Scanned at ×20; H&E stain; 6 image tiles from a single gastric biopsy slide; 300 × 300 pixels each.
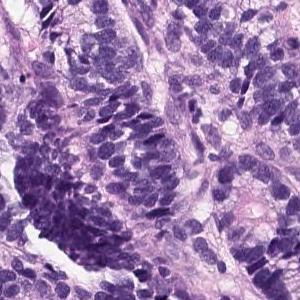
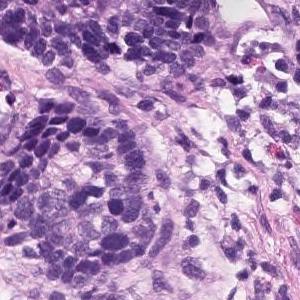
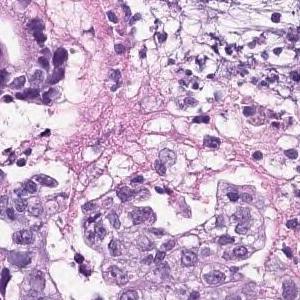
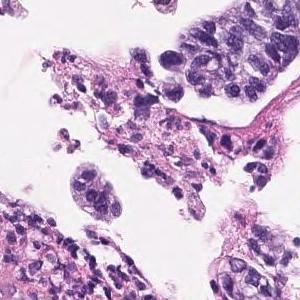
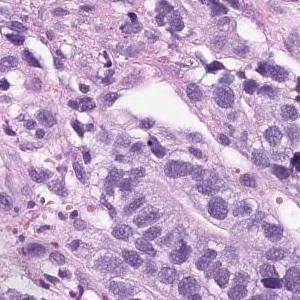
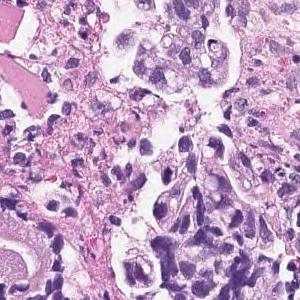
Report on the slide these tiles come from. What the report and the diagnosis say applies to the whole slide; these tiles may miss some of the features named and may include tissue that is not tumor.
Hyperplasia of atypical epithelial cells with swelling of the nucleus is observed. Moderately diffentiated tubular adenocarcinoma
Histologic type: Moderately differentiated tubular adenocarcinoma.
